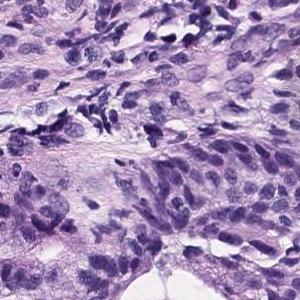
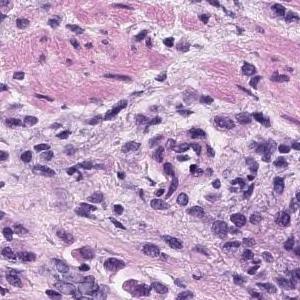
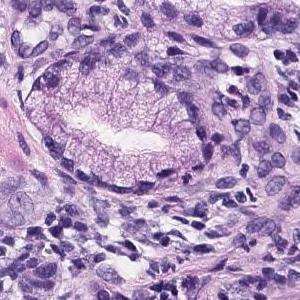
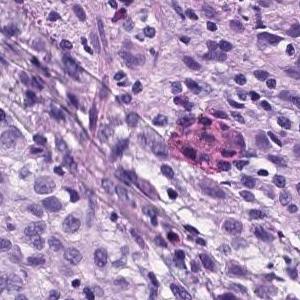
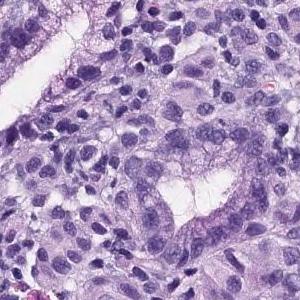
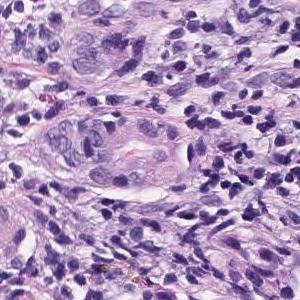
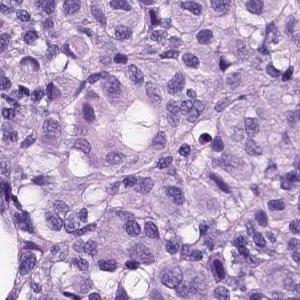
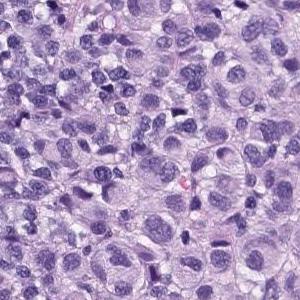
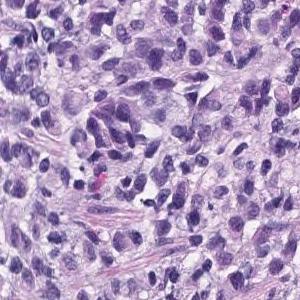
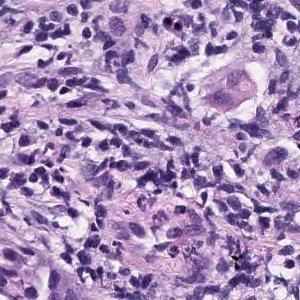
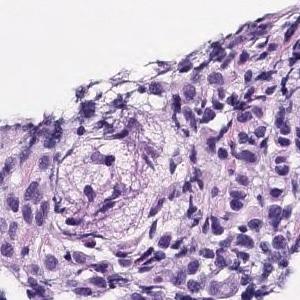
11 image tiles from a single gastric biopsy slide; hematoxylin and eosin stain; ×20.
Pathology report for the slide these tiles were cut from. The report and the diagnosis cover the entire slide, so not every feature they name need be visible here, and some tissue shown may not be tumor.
There are medium-sized atypical cells with marked nuclear swelling and increased N/C ratio, which grow into solid or isolated scattered cells. Poorly differentiated adenocarcinoma
Tumor subtype: poorly differentiated adenocarcinoma, solid type, a category of the Japanese Classification of Gastric Carcinoma; in the WHO 2019 classification it is tubular adenocarcinoma, poorly differentiated.
